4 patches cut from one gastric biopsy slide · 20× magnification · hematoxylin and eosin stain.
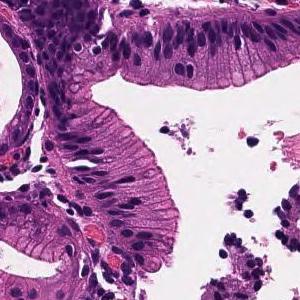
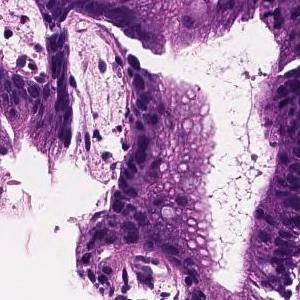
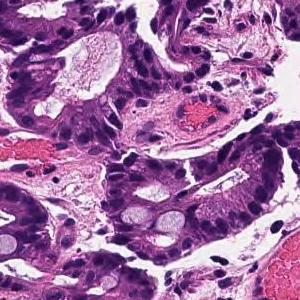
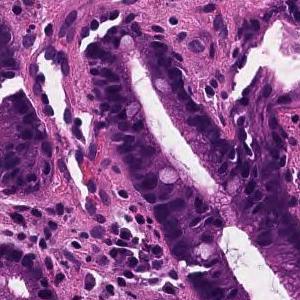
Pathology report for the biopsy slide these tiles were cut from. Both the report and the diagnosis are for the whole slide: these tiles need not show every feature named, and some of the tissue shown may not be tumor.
From the superficial epithelium to the muscularis mucosae, tumor tissue consisting of medium-sized and irregular glandular ducts infiltrating is observed. Well differentiated tubular adenocarcinoma
